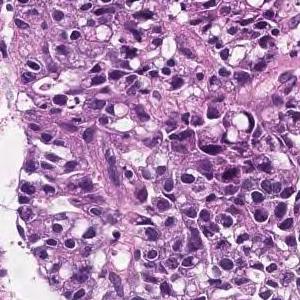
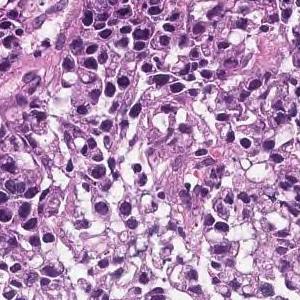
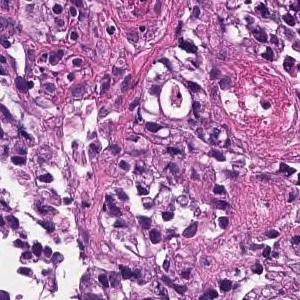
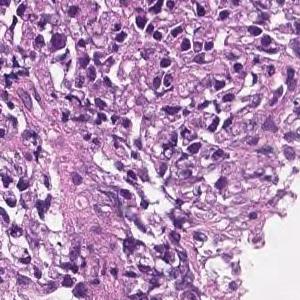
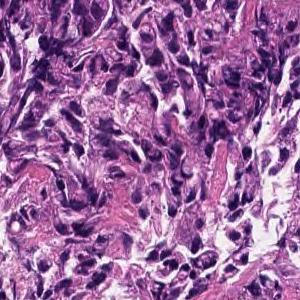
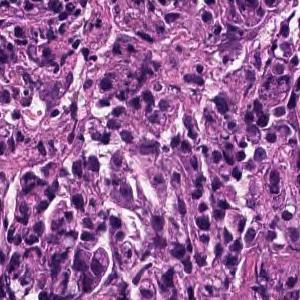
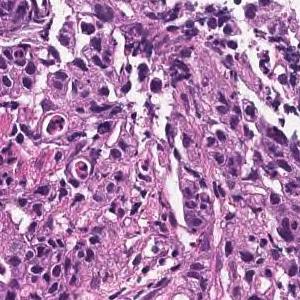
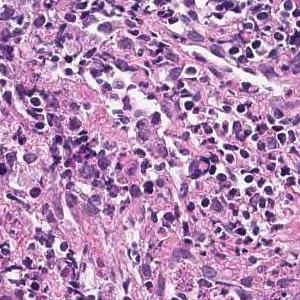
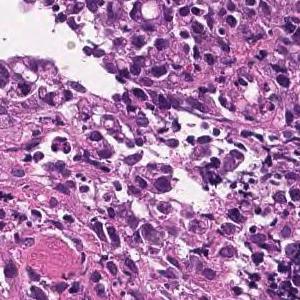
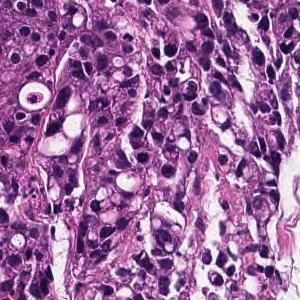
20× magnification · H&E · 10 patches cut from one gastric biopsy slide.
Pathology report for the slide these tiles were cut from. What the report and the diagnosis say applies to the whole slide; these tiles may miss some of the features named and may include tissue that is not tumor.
Medium to small, irregular glandular ducts are formed in the superficial epithelium, and in some cases, the glandular ducts are fused to show solid alveolar lesions and infiltrating tumor tissue is observed. Moderately to poorly differentiated adenocarcinoma.
